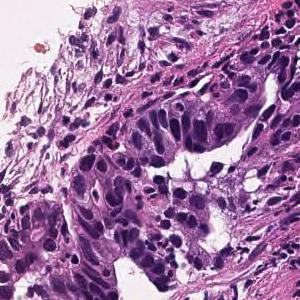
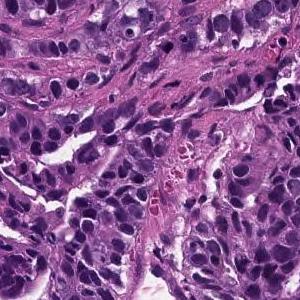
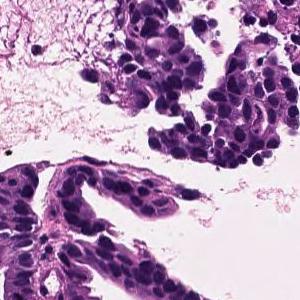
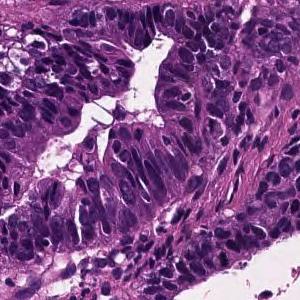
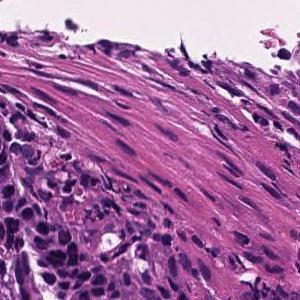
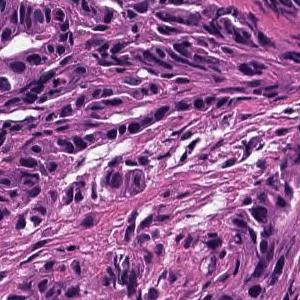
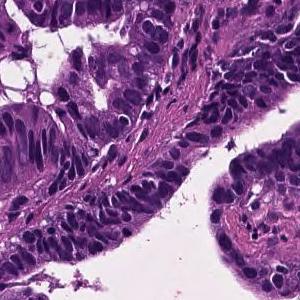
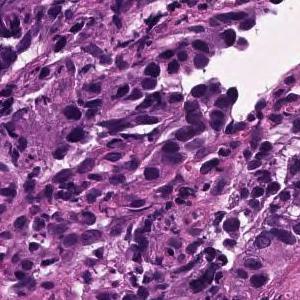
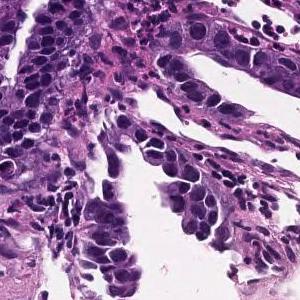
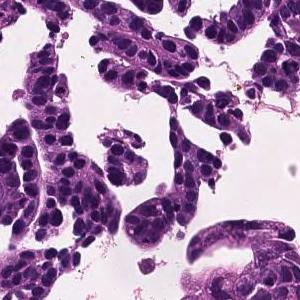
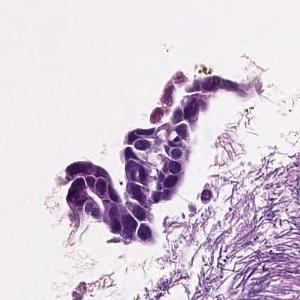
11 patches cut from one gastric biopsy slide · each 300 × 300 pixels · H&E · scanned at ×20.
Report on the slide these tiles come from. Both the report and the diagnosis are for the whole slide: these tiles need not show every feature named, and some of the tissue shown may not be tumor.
Tumor cells are large, highly columnar, large club-shaped nuclei, and are associated with chromatin aggregation. Papillary adenocarcinoma.
